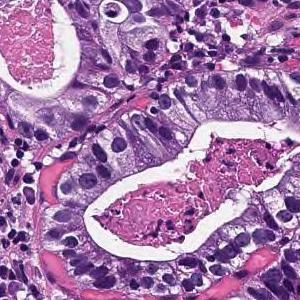
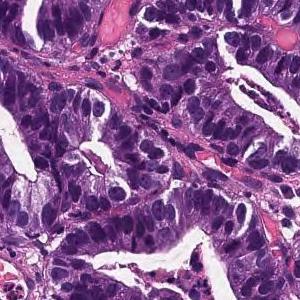
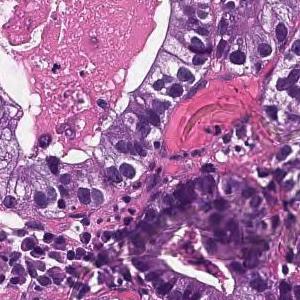
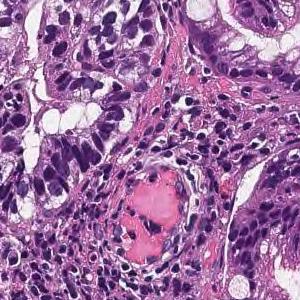
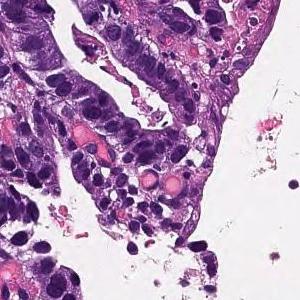
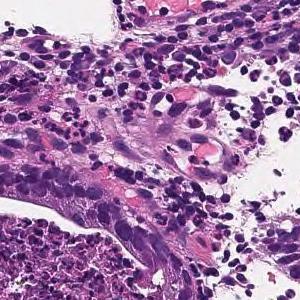
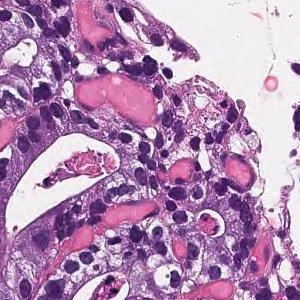
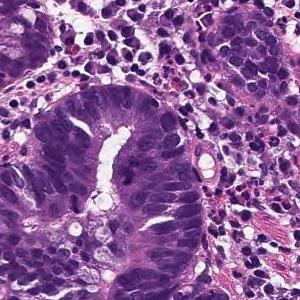
×20, 8 image tiles from a single gastric biopsy slide.
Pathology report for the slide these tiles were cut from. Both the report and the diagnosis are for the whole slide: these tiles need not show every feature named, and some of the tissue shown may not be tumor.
From the superficial epithelium to the muscularis mucosae, tumor tissue consisting of medium-sized and irregular glandular ducts infiltrating is observed. Well differentiated tubular adenocarcinoma
